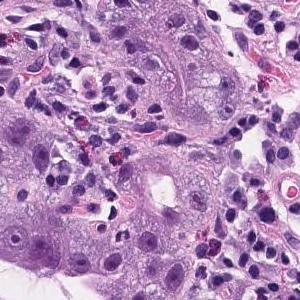
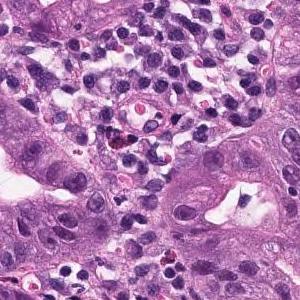
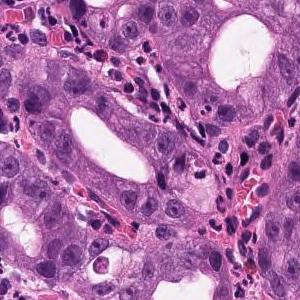
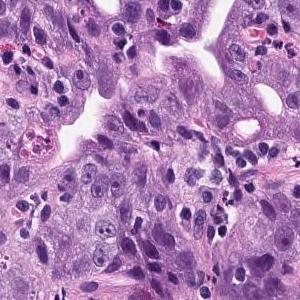
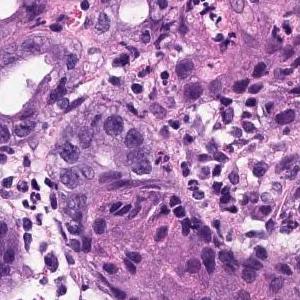
5 tiles from the same stomach biopsy slide · ×20.
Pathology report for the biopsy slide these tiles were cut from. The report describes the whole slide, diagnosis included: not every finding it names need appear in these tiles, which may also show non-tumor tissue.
In the superficial epithelium, tumor tissue that invades by forming medium-sized to small, irregular ducts is observed. Well to moderately differentiated adenocarcinoma (well differentiated tubular adenocarcinoma, moderately differentiated tubular adenocarcinoma).
Classified as well to moderately differentiated tubular adenocarcinoma.
